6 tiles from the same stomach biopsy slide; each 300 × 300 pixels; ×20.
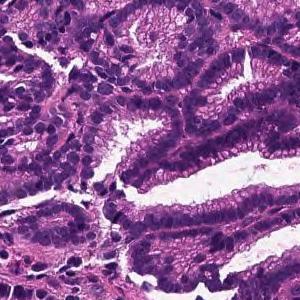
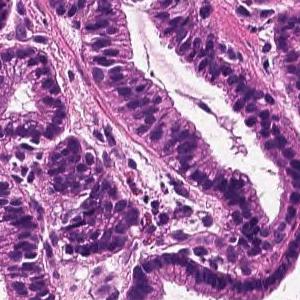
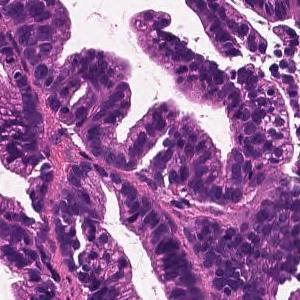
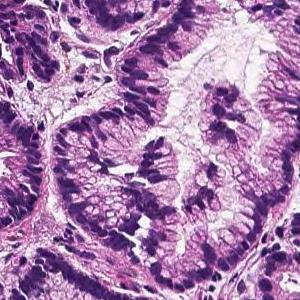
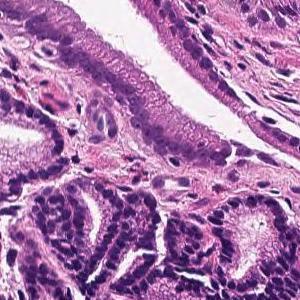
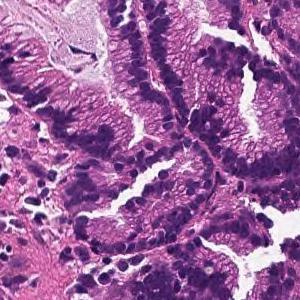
Diagnostic report for the slide these tiles come from. Both the report and the diagnosis are for the whole slide: these tiles need not show every feature named, and some of the tissue shown may not be tumor.
On the superficial epithelium, tumor tissue consisting of large irregular glandular ducts partially fused and infiltrated is observed. Well to moderately differentiated tubular adenocarcinoma (well differentiated tubular adenocarcinoma, moderately differentiated tubular adenocarcinoma)
Histologic type: Well to moderately differentiated tubular adenocarcinoma.
